15 tiles from the same stomach biopsy slide · hematoxylin and eosin stain · 20× magnification.
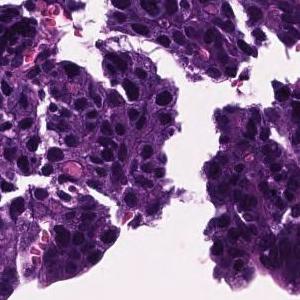
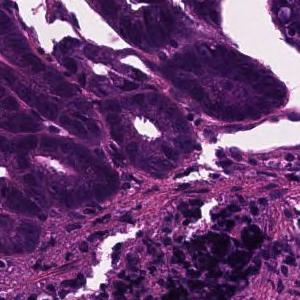
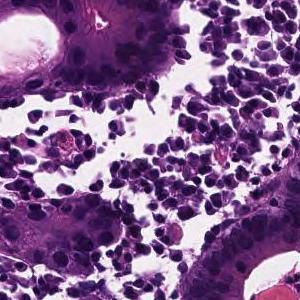
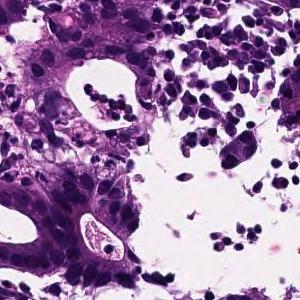
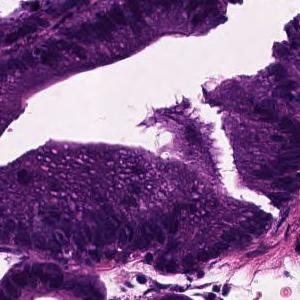
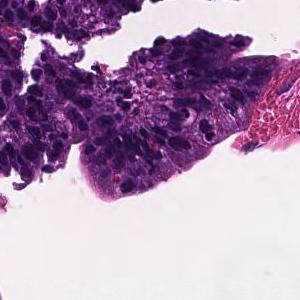
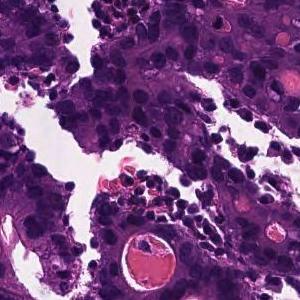
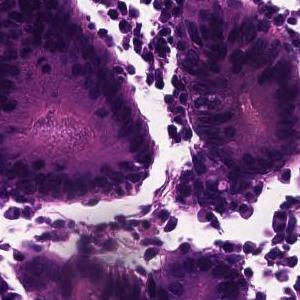
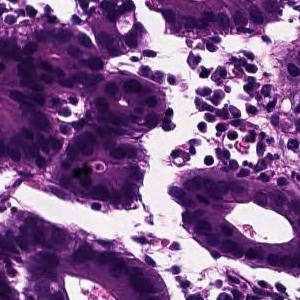
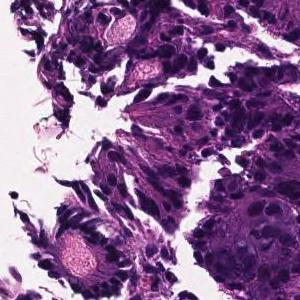
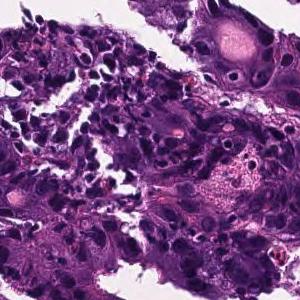
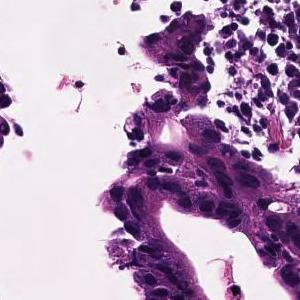
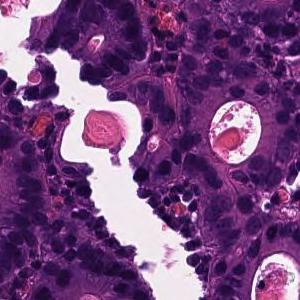
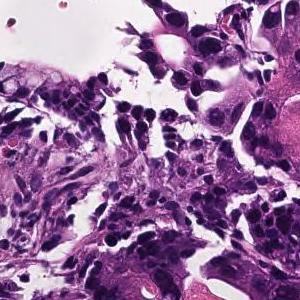
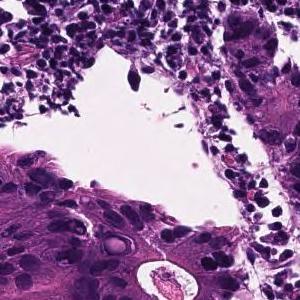
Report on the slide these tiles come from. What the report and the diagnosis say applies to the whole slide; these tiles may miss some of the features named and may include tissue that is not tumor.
From the superficial epithelium to the muscularis mucosae, tumor tissue infiltrating by forming medium-sized irregular gland ducts is observed. Large tumor cells exhibit large nucleus and hyperchromatism. Well differentiated tubular adenocarcinoma
